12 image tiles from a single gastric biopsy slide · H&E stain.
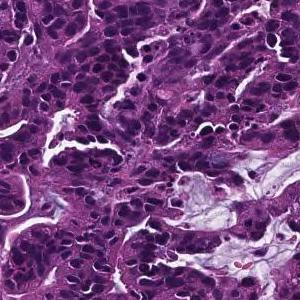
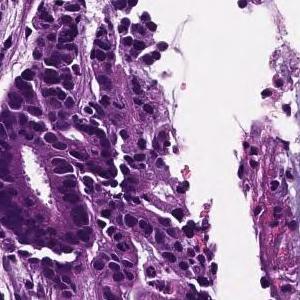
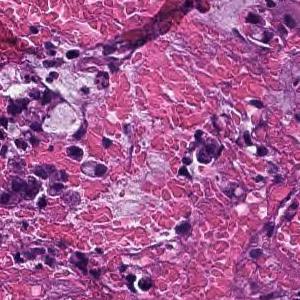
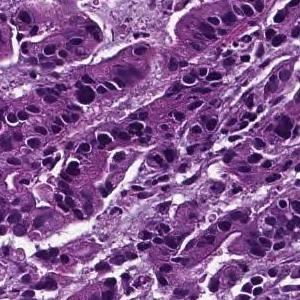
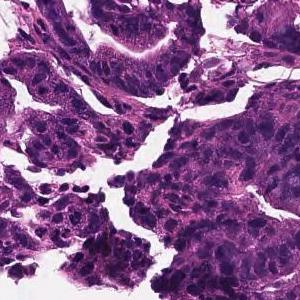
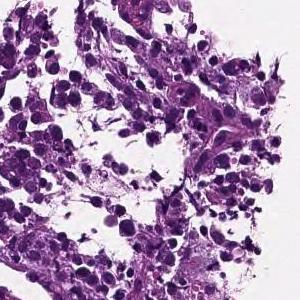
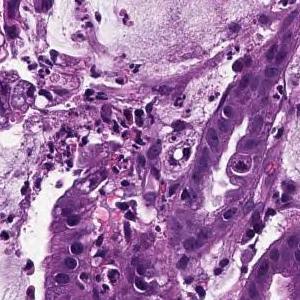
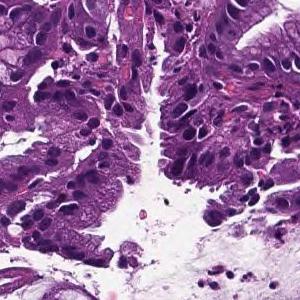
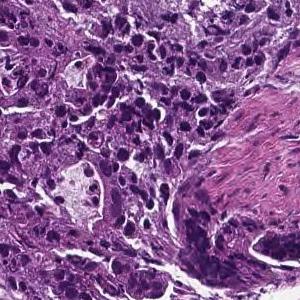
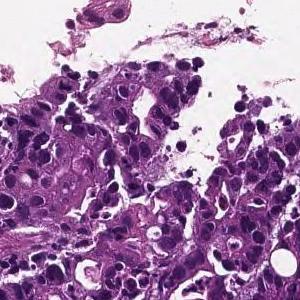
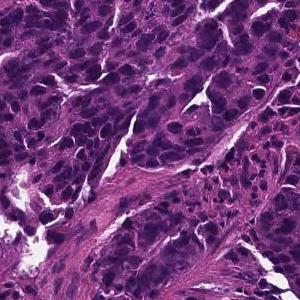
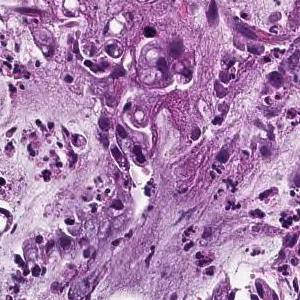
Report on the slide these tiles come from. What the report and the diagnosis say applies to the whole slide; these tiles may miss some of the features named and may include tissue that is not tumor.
On the superficial epithelium, tumor tissue consisting of large irregular glandular ducts partially fused and infiltrated is observed. Well to moderately differentiated tubular adenocarcinoma (well differentiated tubular adenocarcinoma, moderately differentiated tubular adenocarcinoma)
Tumor subtype: well to moderately differentiated tubular adenocarcinoma.
